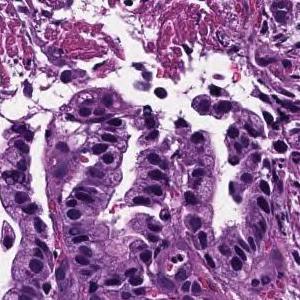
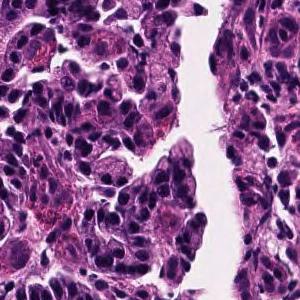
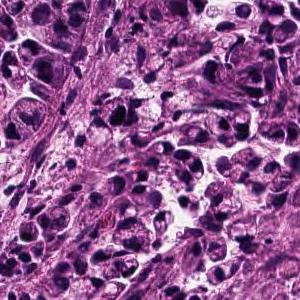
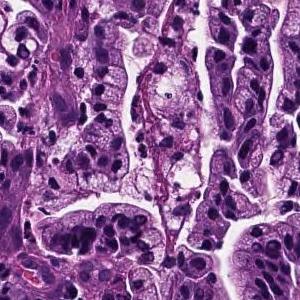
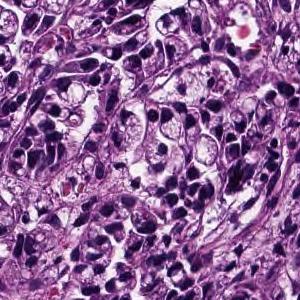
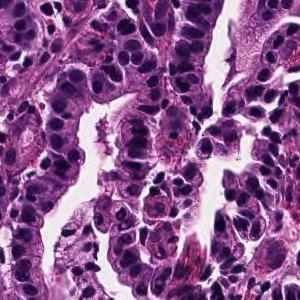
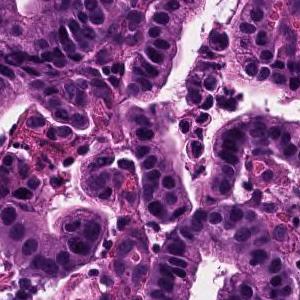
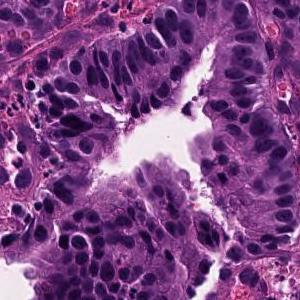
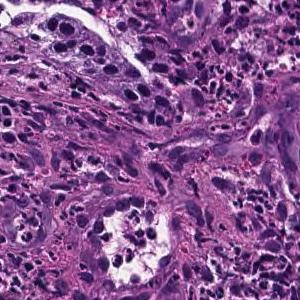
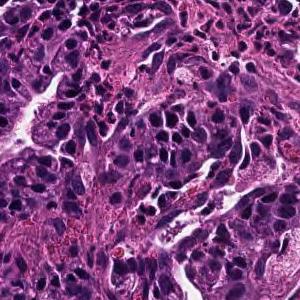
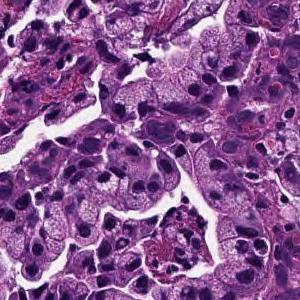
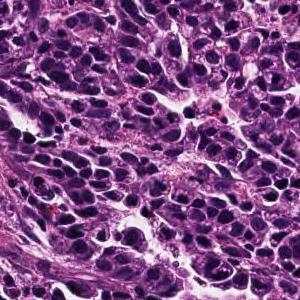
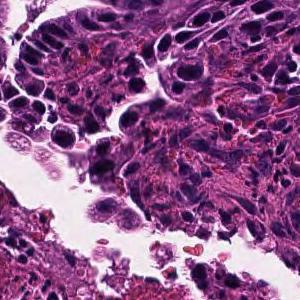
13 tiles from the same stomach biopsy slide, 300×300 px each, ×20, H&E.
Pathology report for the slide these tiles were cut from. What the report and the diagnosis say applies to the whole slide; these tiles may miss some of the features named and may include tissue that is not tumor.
Tumor cells are large, highly columnar, large club-shaped nuclei, and are associated with chromatin aggregation. Papillary adenocarcinoma.
